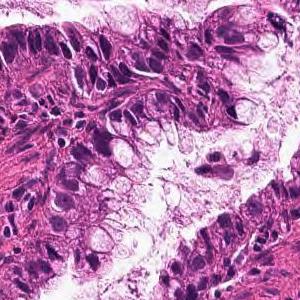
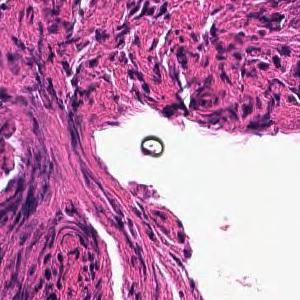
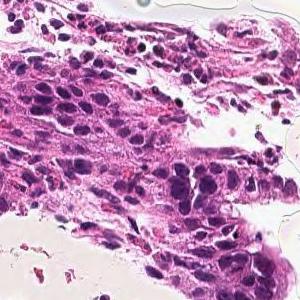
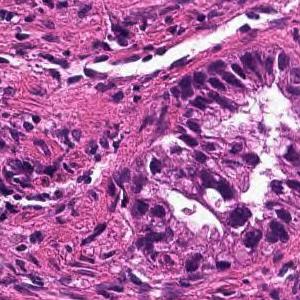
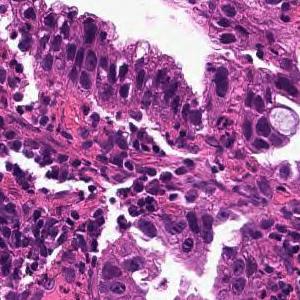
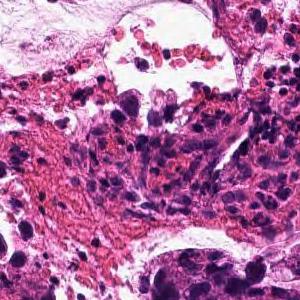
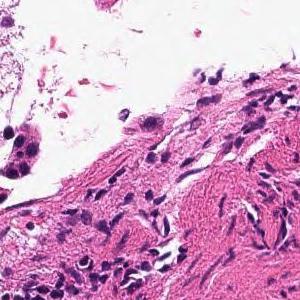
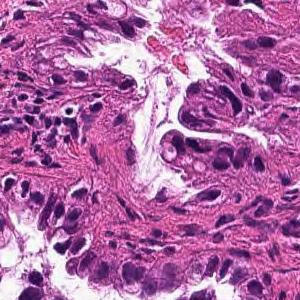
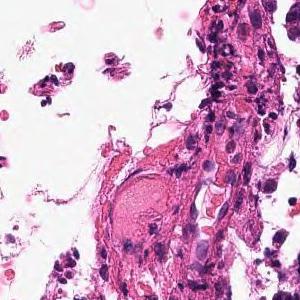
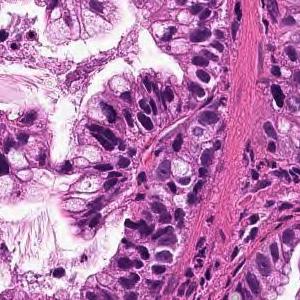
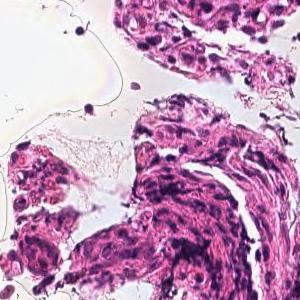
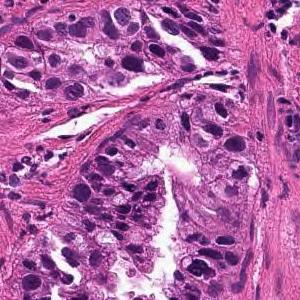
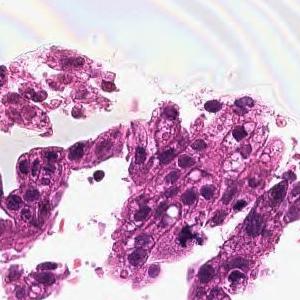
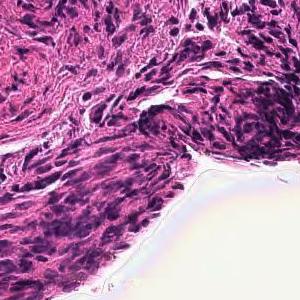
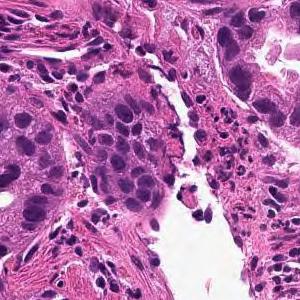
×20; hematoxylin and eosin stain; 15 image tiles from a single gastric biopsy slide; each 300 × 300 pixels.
Pathology report for the slide these tiles were cut from. The report and the diagnosis describe the slide as a whole, so these tiles may not show every feature named and may include non-tumor tissue.
From the superficial epithelium to the muscularis mucosae, tumor tissue infiltrating by forming medium-sized irregular gland ducts is observed. Well differentiated tubular adenocarcinoma
